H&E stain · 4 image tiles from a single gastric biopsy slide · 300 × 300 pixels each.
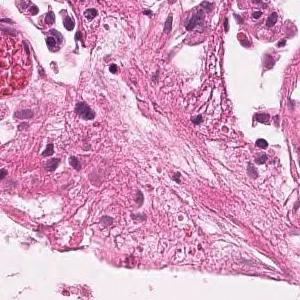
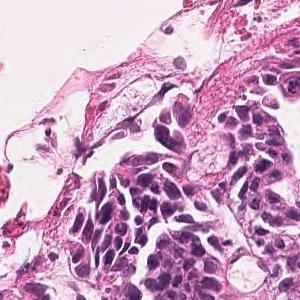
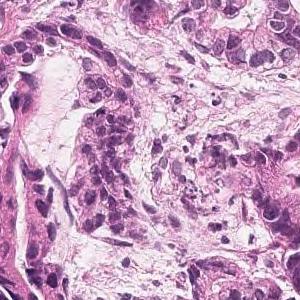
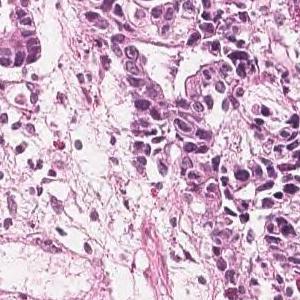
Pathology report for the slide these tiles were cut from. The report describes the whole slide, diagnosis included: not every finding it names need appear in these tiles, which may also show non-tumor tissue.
On the superficial epithelium, tumor tissue consisting of large, irregular glandular ducts partially fused and infiltrated is observed. Well to moderately differentiated tubular adenocarcinoma (well differentiated tubular adenocarcinoma, moderately differentiated tubular adenocarcinoma)
Classified as well to moderately differentiated tubular adenocarcinoma.
